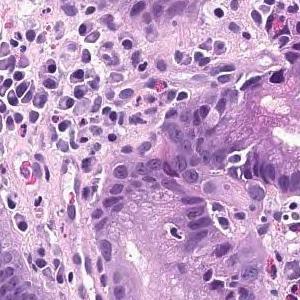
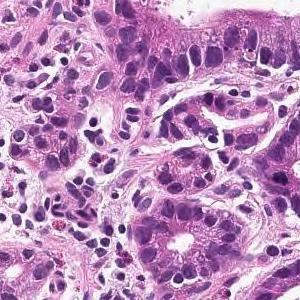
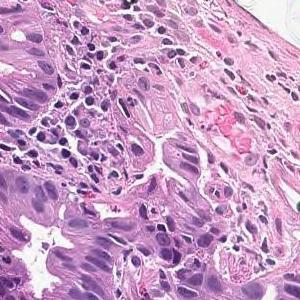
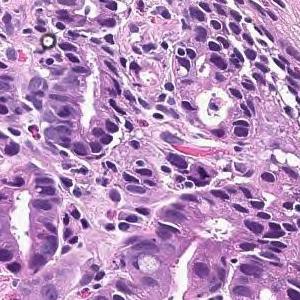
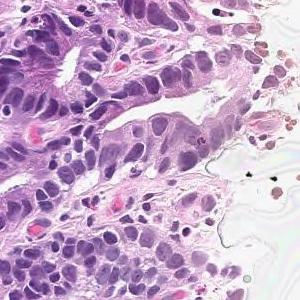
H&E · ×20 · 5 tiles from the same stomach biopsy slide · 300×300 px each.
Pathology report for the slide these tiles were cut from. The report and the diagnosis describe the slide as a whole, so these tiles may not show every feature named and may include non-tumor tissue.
In the superficial epithelium, tumor tissue that invades by forming medium-sized to small, irregular ducts is observed. moderately differentiated tubular adenocarcinoma.
